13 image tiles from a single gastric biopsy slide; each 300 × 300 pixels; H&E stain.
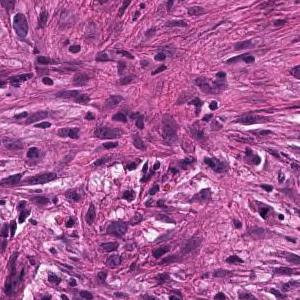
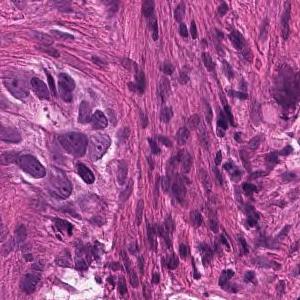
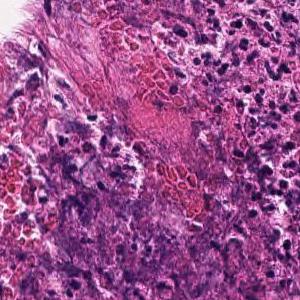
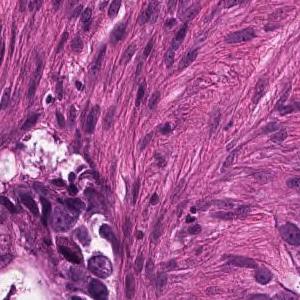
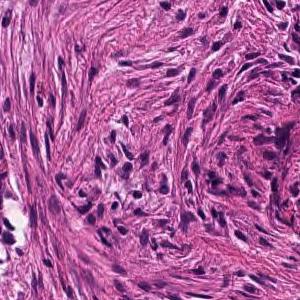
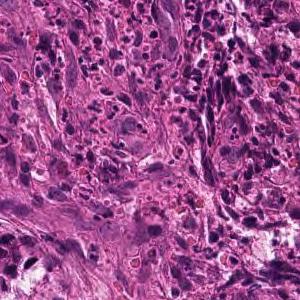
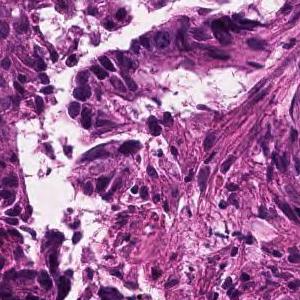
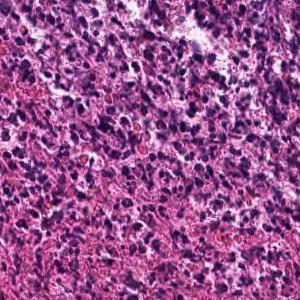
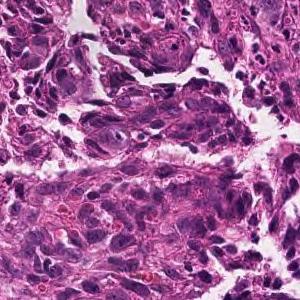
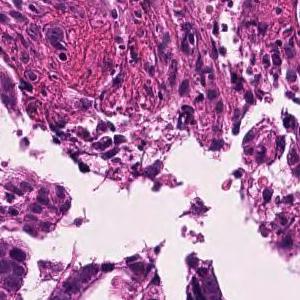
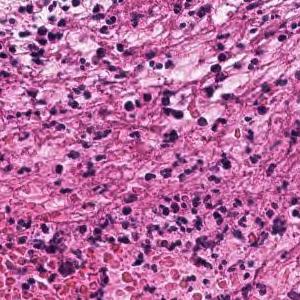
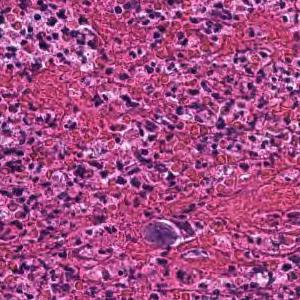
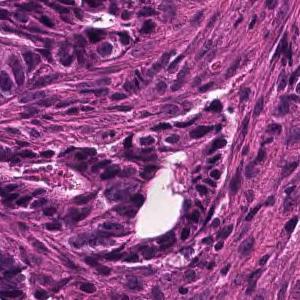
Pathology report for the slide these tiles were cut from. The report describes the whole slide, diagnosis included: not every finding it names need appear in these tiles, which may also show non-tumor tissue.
In the superficial epithelium, tumor tissue that invades by forming medium-sized to small, irregular ducts is observed. moderately differentiated tubular adenocarcinoma.
